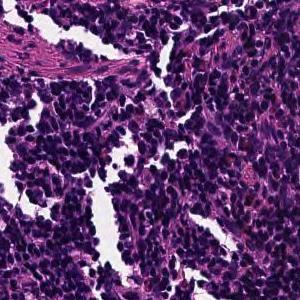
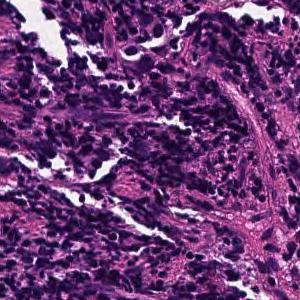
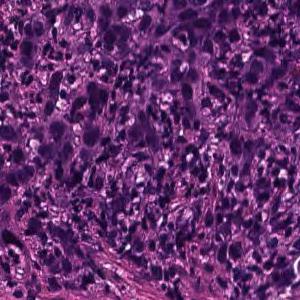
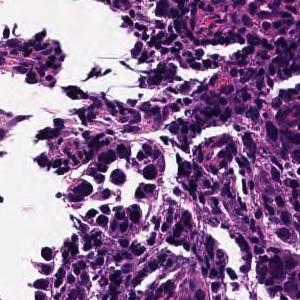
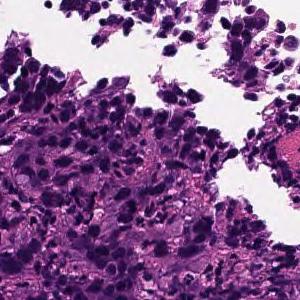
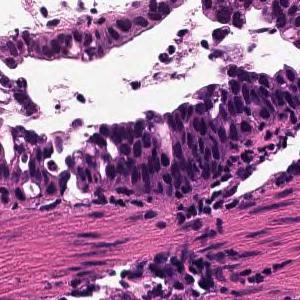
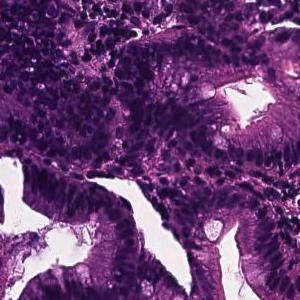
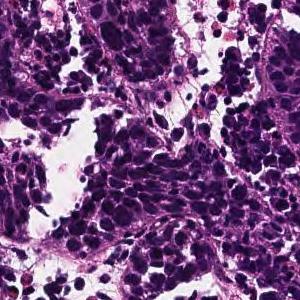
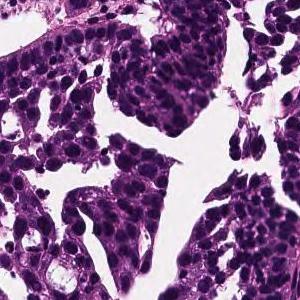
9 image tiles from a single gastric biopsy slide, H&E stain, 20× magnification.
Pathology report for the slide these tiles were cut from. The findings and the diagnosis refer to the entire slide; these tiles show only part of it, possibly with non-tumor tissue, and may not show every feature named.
Tumor tissue consisting of cord-like or small, irregular glandular ducts fused and infiltrated is observed in the superficial epithelium. Poorly differentiated adenocarcinoma, non-solid type
"Non-solid type" is a category of the Japanese Classification of Gastric Carcinoma.
